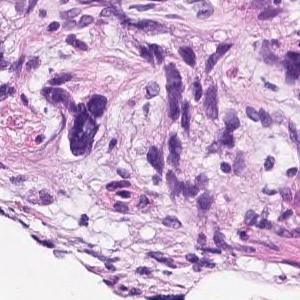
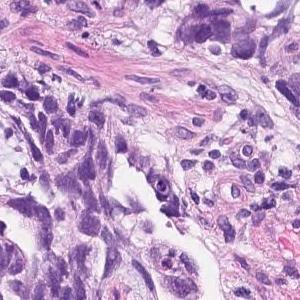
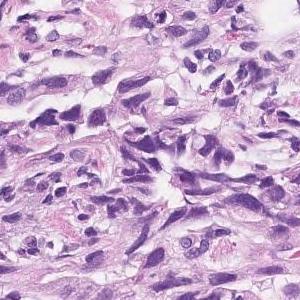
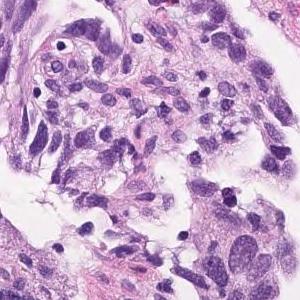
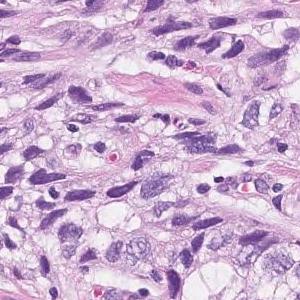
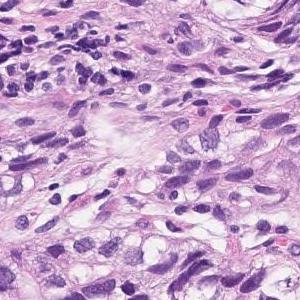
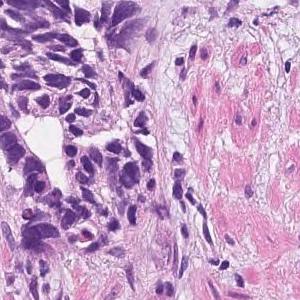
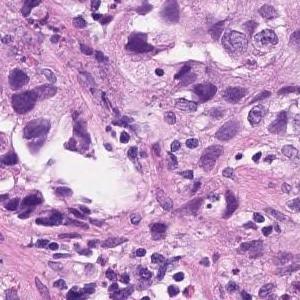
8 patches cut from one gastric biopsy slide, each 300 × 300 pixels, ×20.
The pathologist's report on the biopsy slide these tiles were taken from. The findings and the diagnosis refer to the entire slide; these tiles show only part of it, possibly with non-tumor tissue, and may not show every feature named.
In the superficial epithelium, tumor tissue that invades by forming medium-sized to small, irregular ducts is observed. Moderately differentiated adenocarcinoma.
Histological subtype: Moderately differentiated tubular adenocarcinoma.
